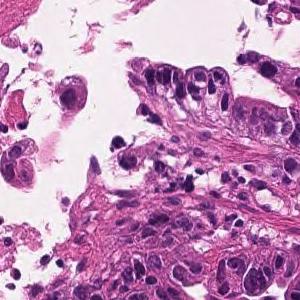
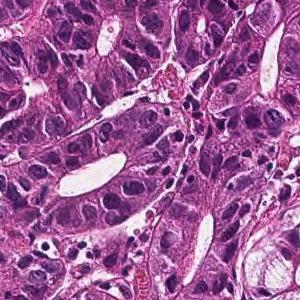
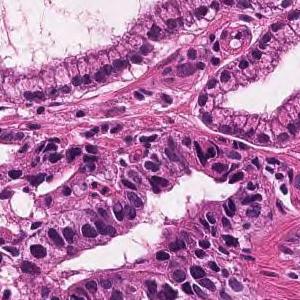
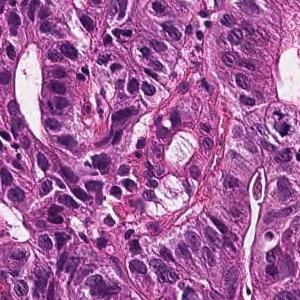
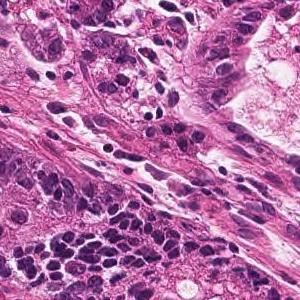
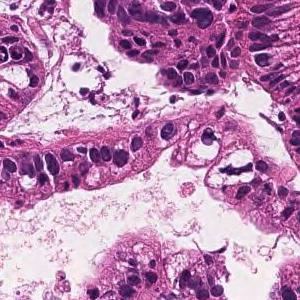
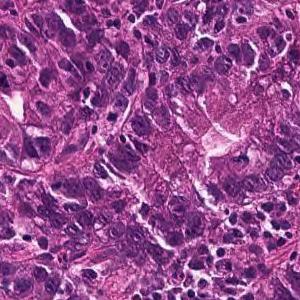
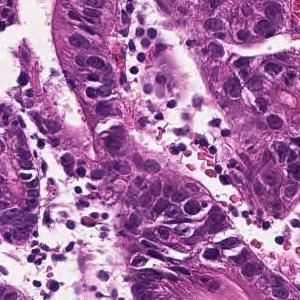
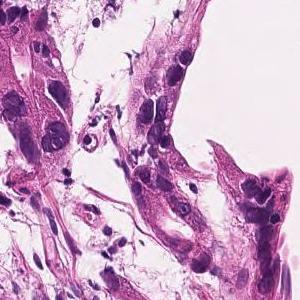
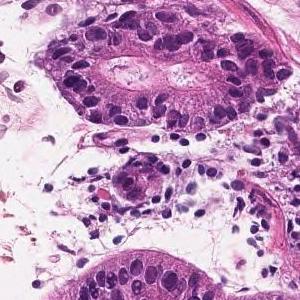
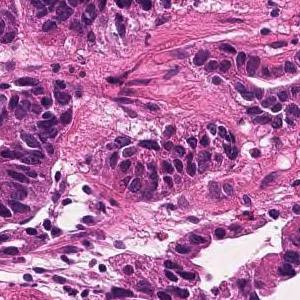
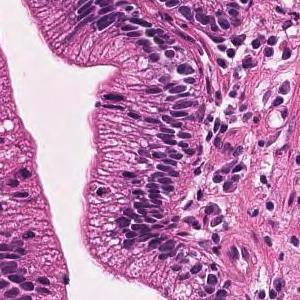
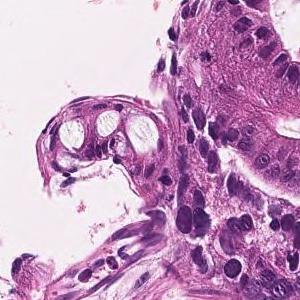
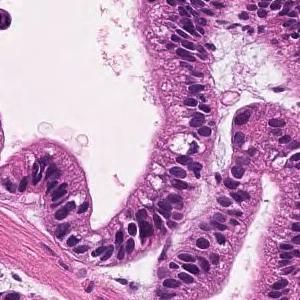
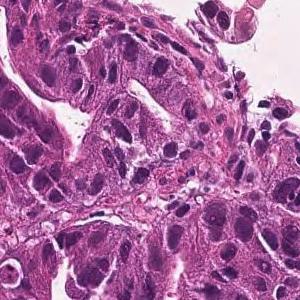
H&E stain, ×20, 15 patches cut from one gastric biopsy slide, 300×300 px each.
The pathologist's report on the biopsy slide these tiles were taken from. What the report and the diagnosis say applies to the whole slide; these tiles may miss some of the features named and may include tissue that is not tumor.
In the superficial epithelium, tumor tissue that invades by forming medium-sized to small, irregular ducts is observed. moderately differentiated tubular adenocarcinoma.
